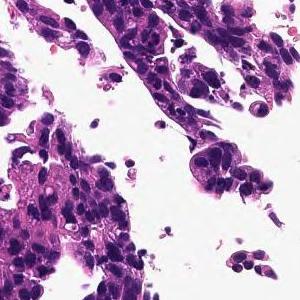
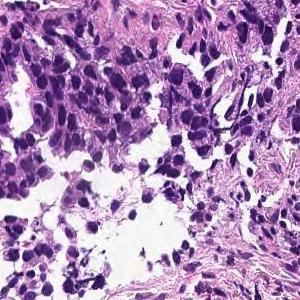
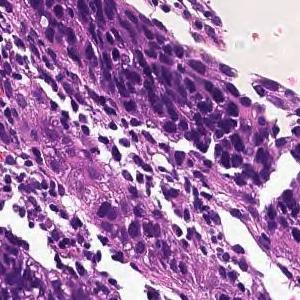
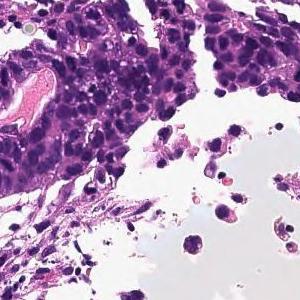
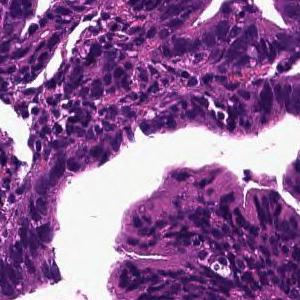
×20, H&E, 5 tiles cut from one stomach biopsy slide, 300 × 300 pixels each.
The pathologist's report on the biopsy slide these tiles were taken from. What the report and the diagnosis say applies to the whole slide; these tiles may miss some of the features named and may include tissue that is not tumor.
In the superficial epithelium, tumor tissue that invades by forming medium-sized to small, irregular ducts is observed. moderately differentiated tubular adenocarcinoma.
